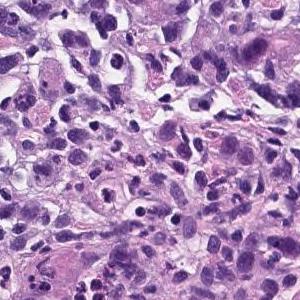
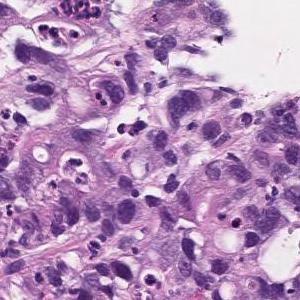
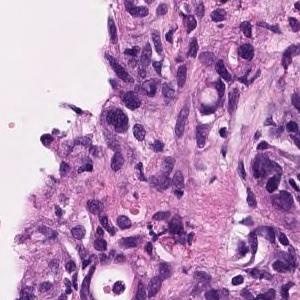
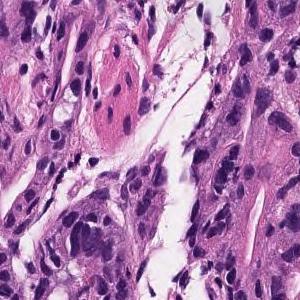
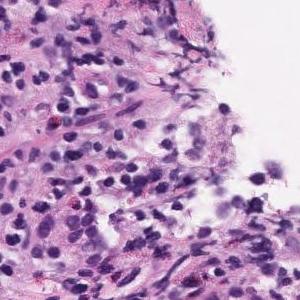
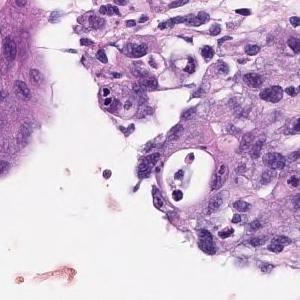
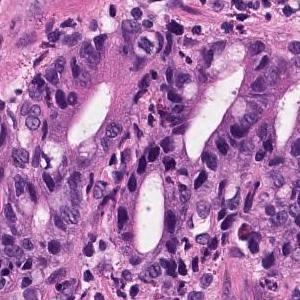
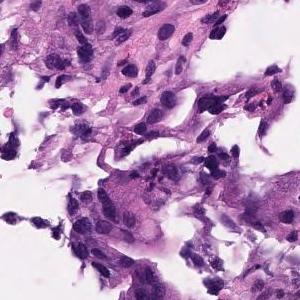
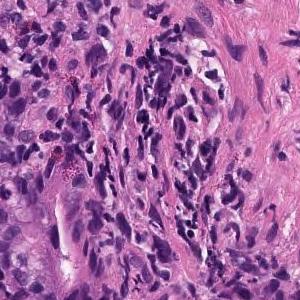
9 patches cut from one gastric biopsy slide; scanned at ×20.
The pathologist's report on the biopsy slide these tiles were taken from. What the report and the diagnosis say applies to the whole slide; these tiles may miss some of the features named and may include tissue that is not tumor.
moderately differentiated tubular adenocarcinoma, Poorly differentiated adenocarcinoma
Labeled in the dataset as poorly differentiated adenocarcinoma, solid type, a category of the Japanese Classification of Gastric Carcinoma; in the WHO 2019 classification it is tubular adenocarcinoma, poorly differentiated.
